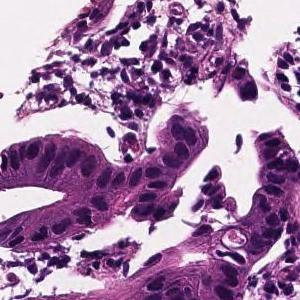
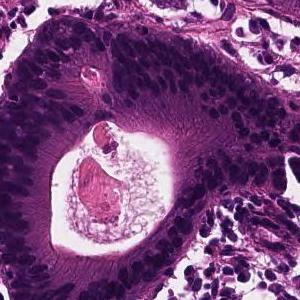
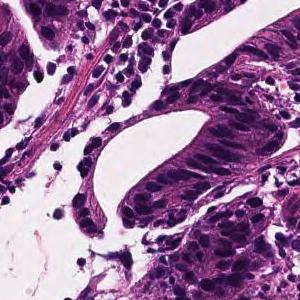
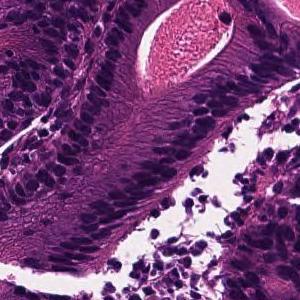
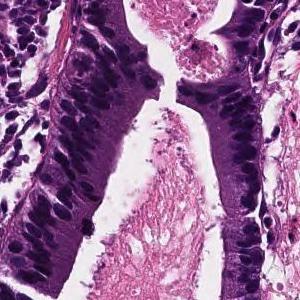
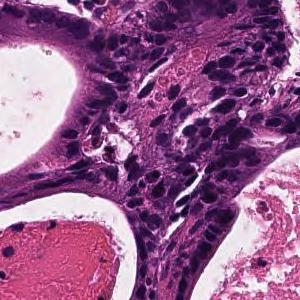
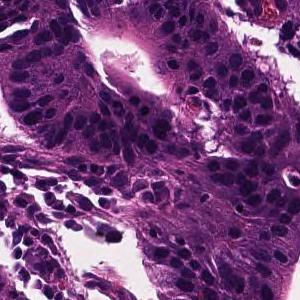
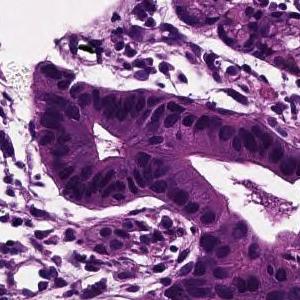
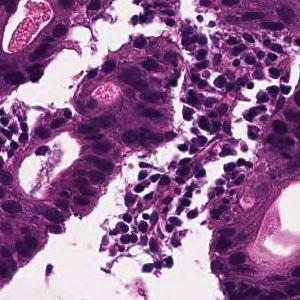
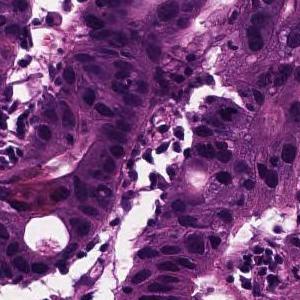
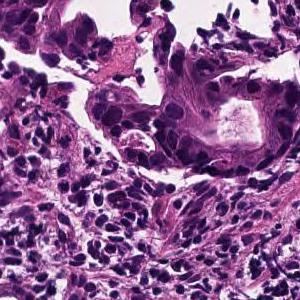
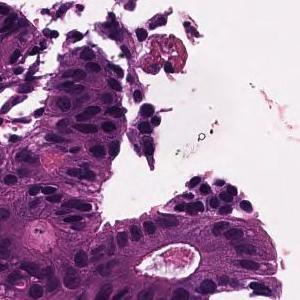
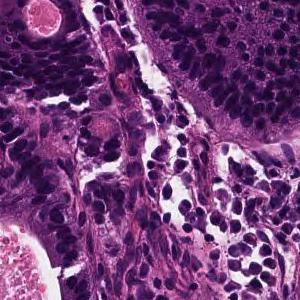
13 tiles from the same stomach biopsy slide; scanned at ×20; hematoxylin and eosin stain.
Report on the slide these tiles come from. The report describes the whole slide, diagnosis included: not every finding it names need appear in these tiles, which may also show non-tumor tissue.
In the superficial epithelium, tumor tissue that invades by forming medium-sized to small, irregular ducts is observed. moderately differentiated tubular adenocarcinoma.
